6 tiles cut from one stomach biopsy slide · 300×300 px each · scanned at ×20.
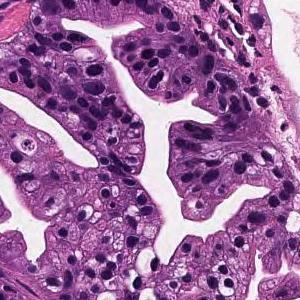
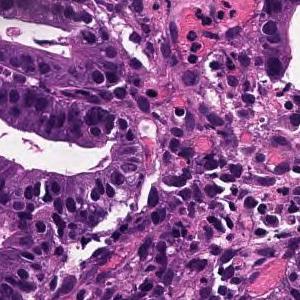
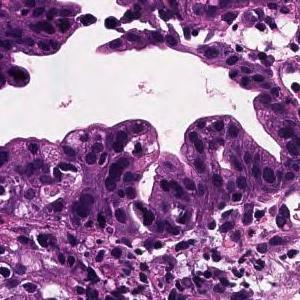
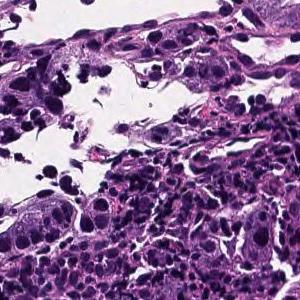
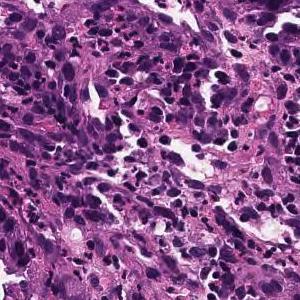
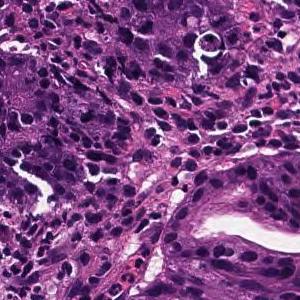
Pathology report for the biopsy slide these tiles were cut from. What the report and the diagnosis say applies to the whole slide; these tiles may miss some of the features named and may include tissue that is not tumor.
From the superficial epithelium to the muscularis mucosae, tumor tissue consisting of medium-sized and irregular glandular ducts infiltrating is observed. Well differentiated tubular adenocarcinoma
